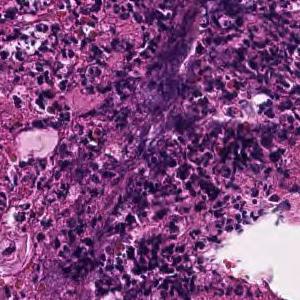
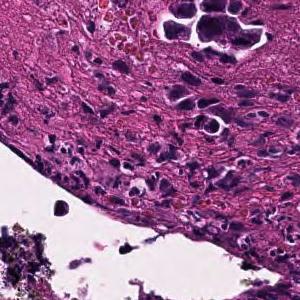
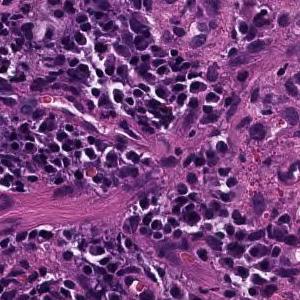
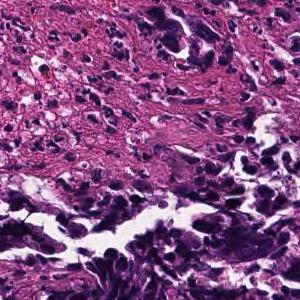
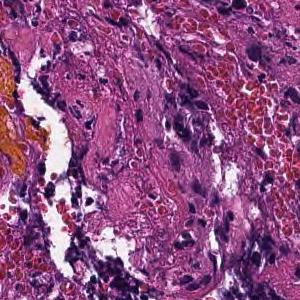
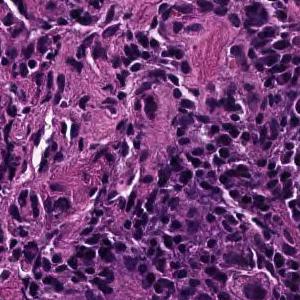
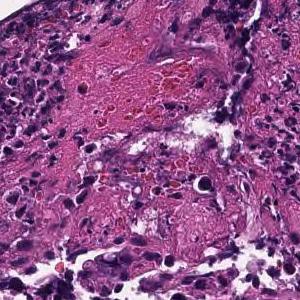
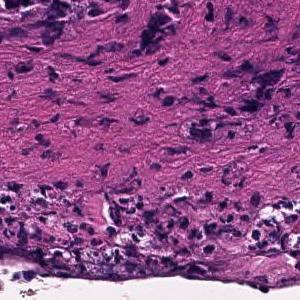
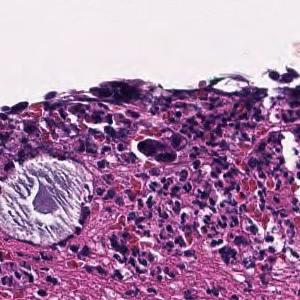
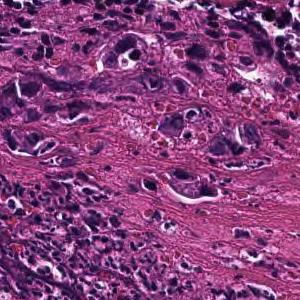
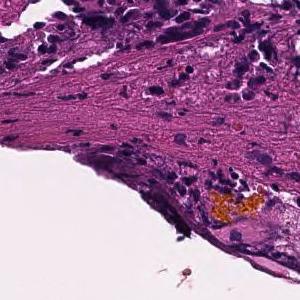
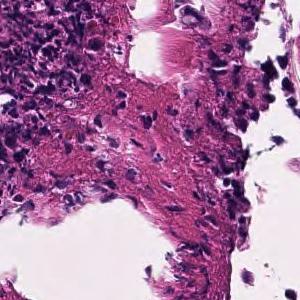
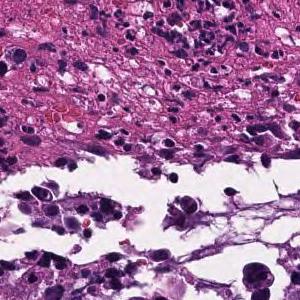
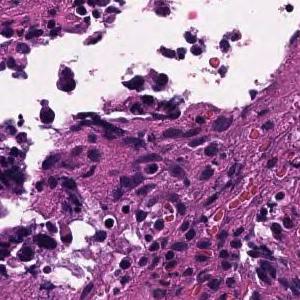
Hematoxylin and eosin stain; ×20; 14 image tiles from a single gastric biopsy slide.
Pathology report for the slide these tiles were cut from. Both the report and the diagnosis are for the whole slide: these tiles need not show every feature named, and some of the tissue shown may not be tumor.
Tumor tissue consisting of cord-like or small, irregular glandular ducts fused and infiltrated is observed in the superficial epithelium. Poorly differentiated adenocarcinoma, non-solid type
The non-solid type named here is a Japanese Classification of Gastric Carcinoma category.
